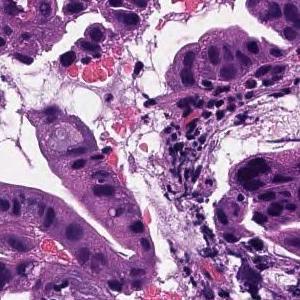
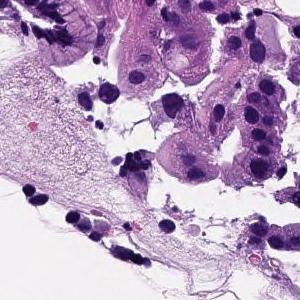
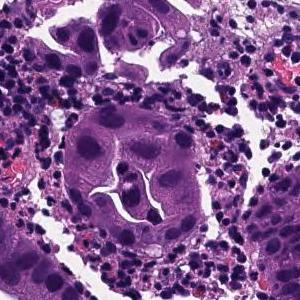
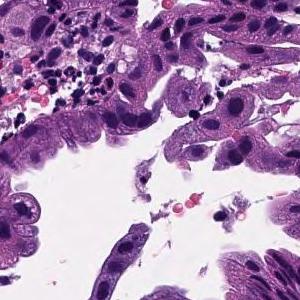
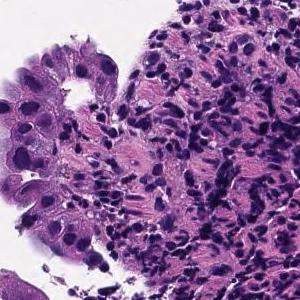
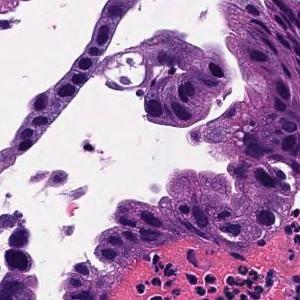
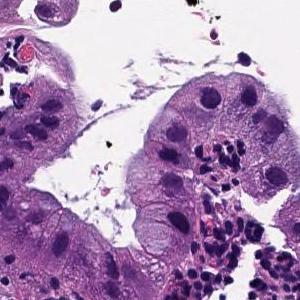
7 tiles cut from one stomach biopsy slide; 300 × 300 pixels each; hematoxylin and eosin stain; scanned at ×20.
Pathology report for the slide these tiles were cut from. The findings and the diagnosis refer to the entire slide; these tiles show only part of it, possibly with non-tumor tissue, and may not show every feature named.
Tumor tissue consisting of large papillary structures is found in the superficial epithelium. Papillary adenocarcinoma.
